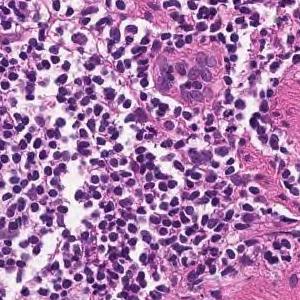
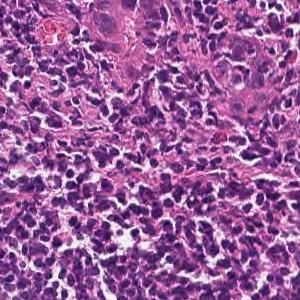
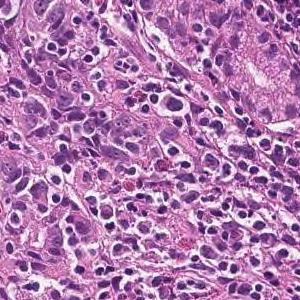
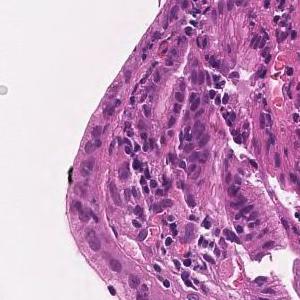
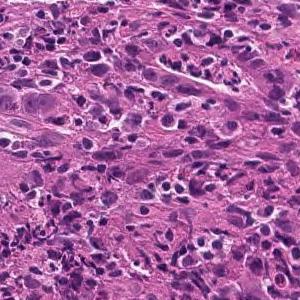
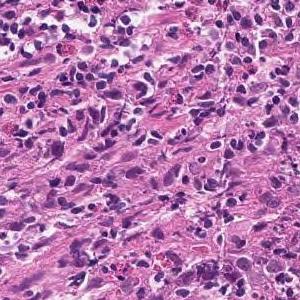
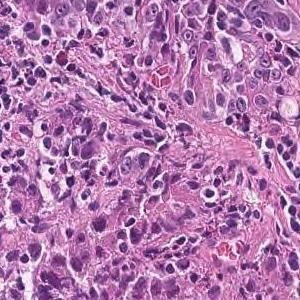
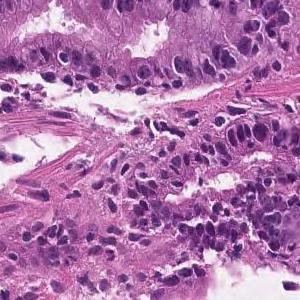
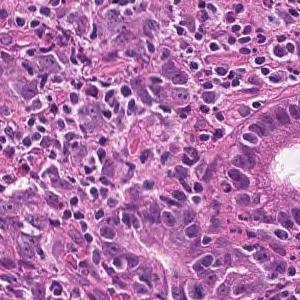
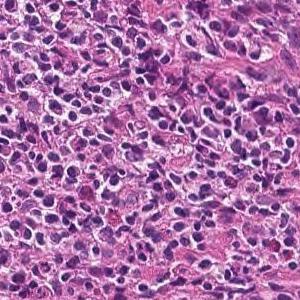
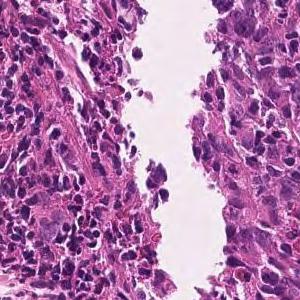
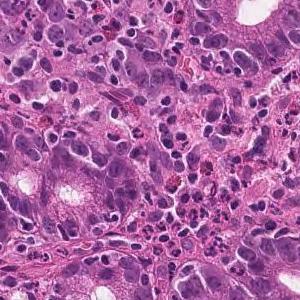
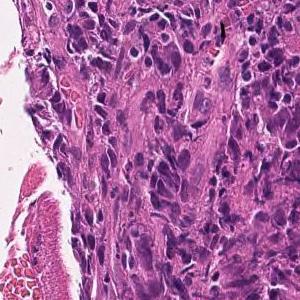
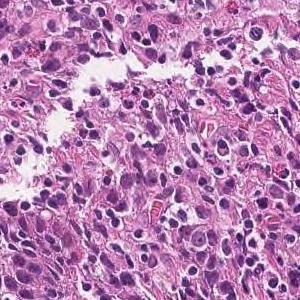
14 tiles cut from one stomach biopsy slide, H&E.
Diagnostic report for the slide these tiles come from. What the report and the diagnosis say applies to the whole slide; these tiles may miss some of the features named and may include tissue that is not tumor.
Tumor tissue consisting of medium-sized, cord-like or irregular glandular infiltration is observed in the superficial epithelium. Poorly differentiated adenocarcinoma, non-solid type or moderately differentiated tubular adenocarcinoma
Dataset label: poorly differentiated adenocarcinoma, non-solid type.
The term "non-solid type" comes from the Japanese Classification of Gastric Carcinoma.
